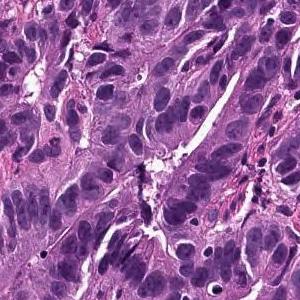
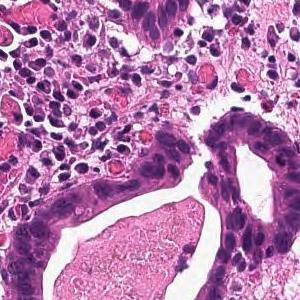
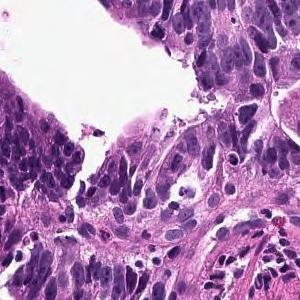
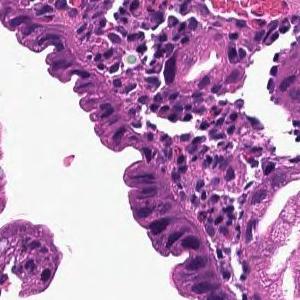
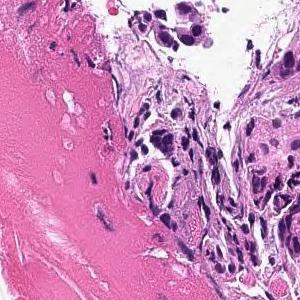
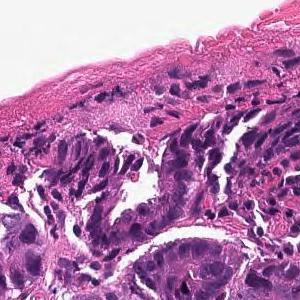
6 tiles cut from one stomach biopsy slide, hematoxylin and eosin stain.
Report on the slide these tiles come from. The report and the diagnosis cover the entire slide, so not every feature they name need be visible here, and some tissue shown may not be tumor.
On the superficial epithelium, tumor tissue consisting of large, irregular glandular ducts partially fused and infiltrated is observed. Well to moderately differentiated tubular adenocarcinoma (well differentiated tubular adenocarcinoma, moderately differentiated tubular adenocarcinoma)
Classified as well to moderately differentiated tubular adenocarcinoma.
